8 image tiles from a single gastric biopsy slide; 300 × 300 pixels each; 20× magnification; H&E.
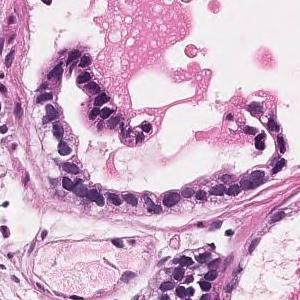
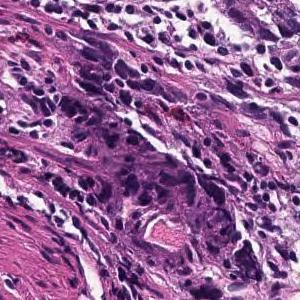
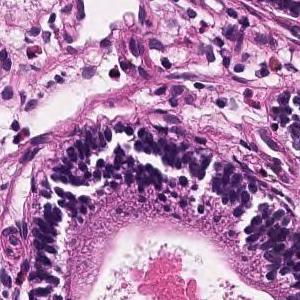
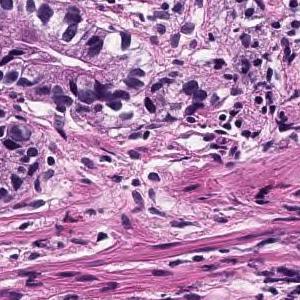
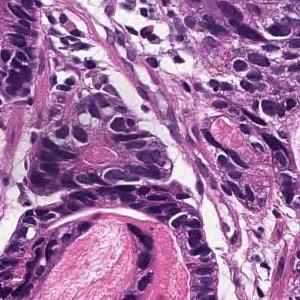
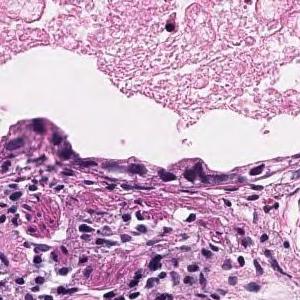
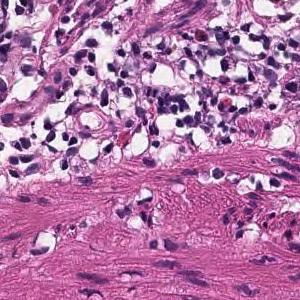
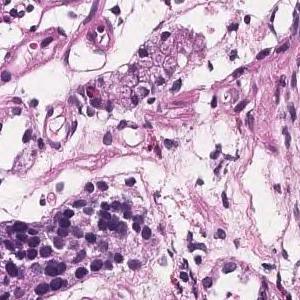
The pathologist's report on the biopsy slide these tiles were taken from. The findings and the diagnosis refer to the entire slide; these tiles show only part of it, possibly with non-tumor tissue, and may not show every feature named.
Tumor tissue consisting of medium-sized and irregular ducts is observed infiltrating in the superficial epithelium. Tumor cells are highly columnar, with nuclei aligned basolaterally and polarized. Well differentiated tubular adenocarcinoma.
